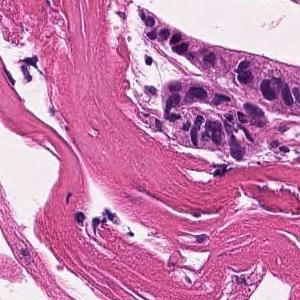
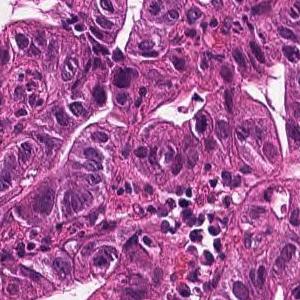
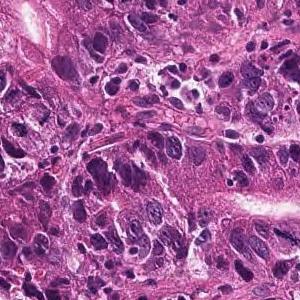
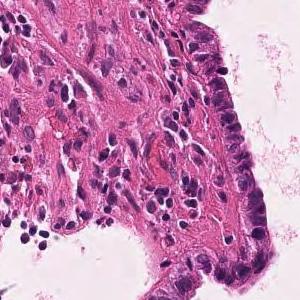
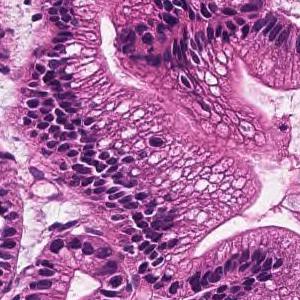
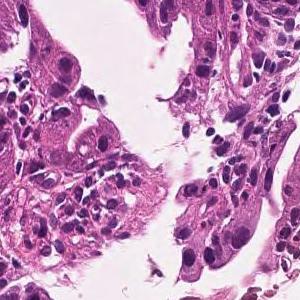
Hematoxylin and eosin stain · 6 image tiles from a single gastric biopsy slide.
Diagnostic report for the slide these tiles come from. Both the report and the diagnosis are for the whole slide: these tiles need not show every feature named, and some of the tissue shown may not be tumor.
In the superficial epithelium, tumor tissue that invades by forming medium-sized to small, irregular ducts is observed. moderately differentiated tubular adenocarcinoma.
